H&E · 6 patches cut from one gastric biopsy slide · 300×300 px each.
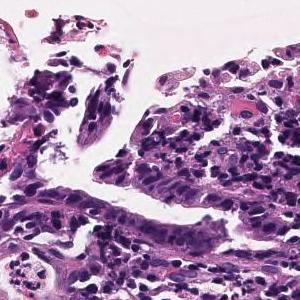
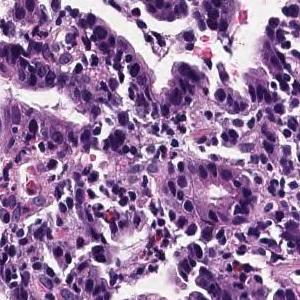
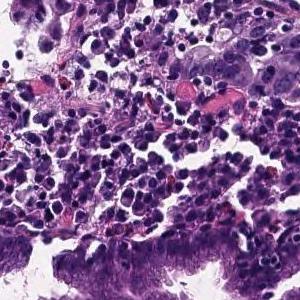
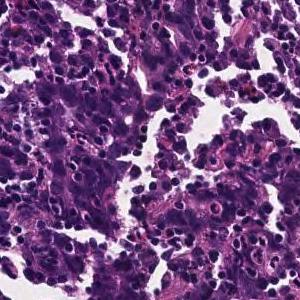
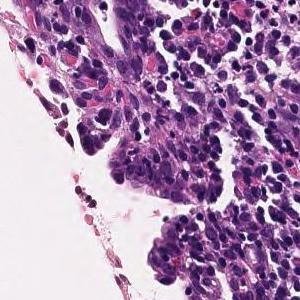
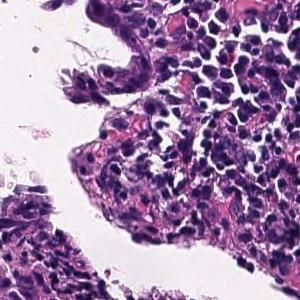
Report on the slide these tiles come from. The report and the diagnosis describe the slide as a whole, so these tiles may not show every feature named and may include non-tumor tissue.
Tumor tissue consisting of medium-sized, cord-like or irregular glandular infiltration is observed in the superficial epithelium. Poorly differentiated adenocarcinoma, non-solid type or moderately differentiated tubular adenocarcinoma
Classified as moderately to poorly differentiated adenocarcinoma.
The non-solid type named here is a Japanese Classification of Gastric Carcinoma category.
